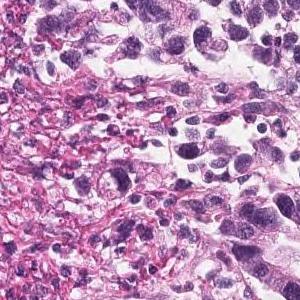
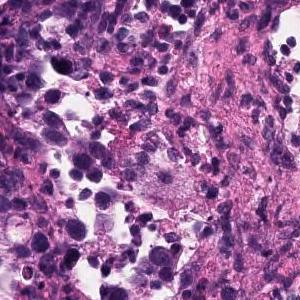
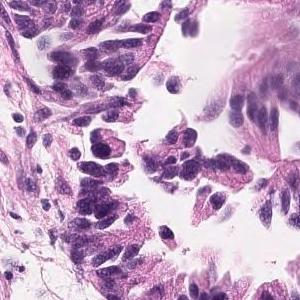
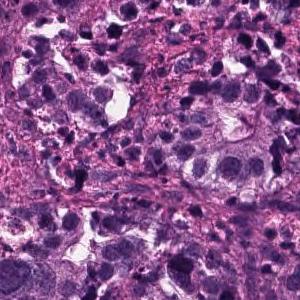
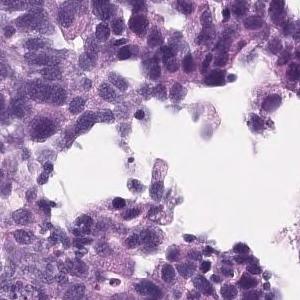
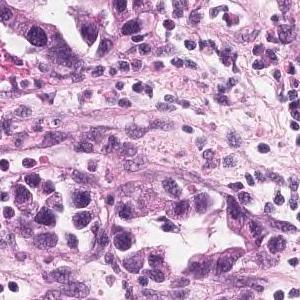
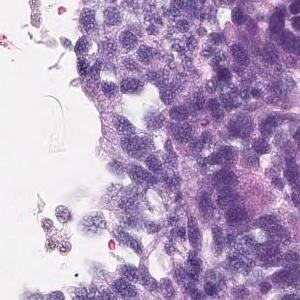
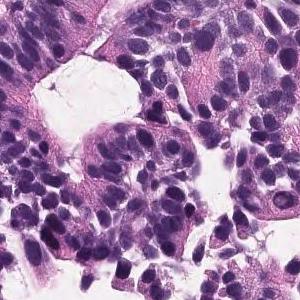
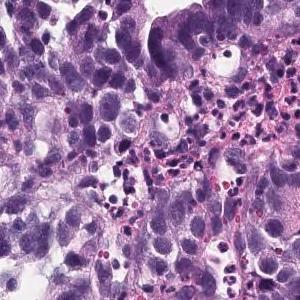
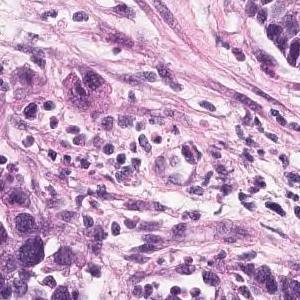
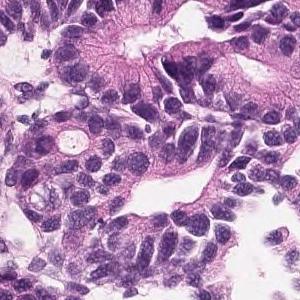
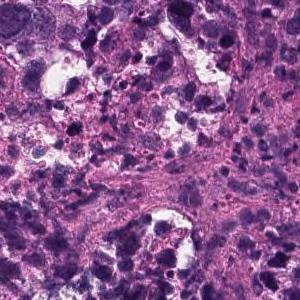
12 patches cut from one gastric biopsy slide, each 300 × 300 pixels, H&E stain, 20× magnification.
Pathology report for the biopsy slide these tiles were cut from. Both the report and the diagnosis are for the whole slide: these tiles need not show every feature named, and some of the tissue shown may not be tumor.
In the superficial epithelium, tumor tissue that invades by forming medium-sized to small, irregular ducts is observed. moderately differentiated tubular adenocarcinoma.
